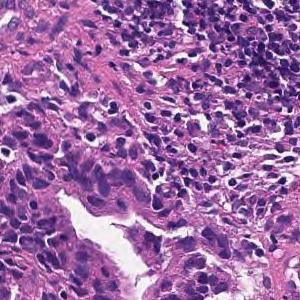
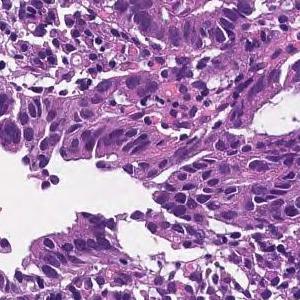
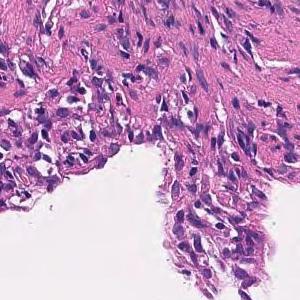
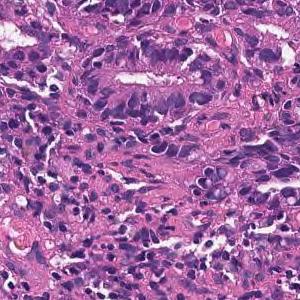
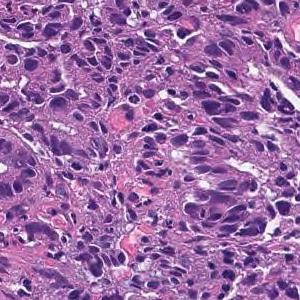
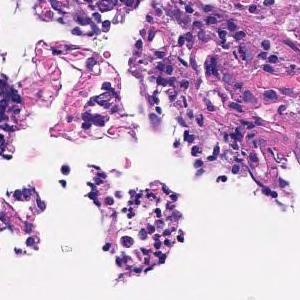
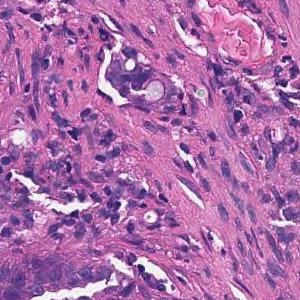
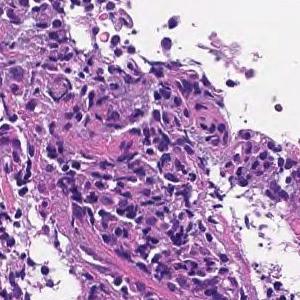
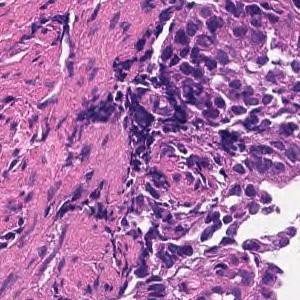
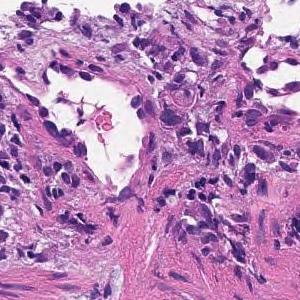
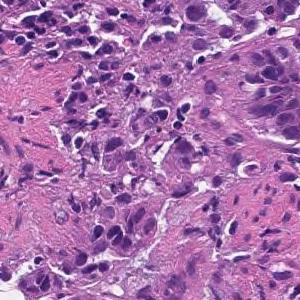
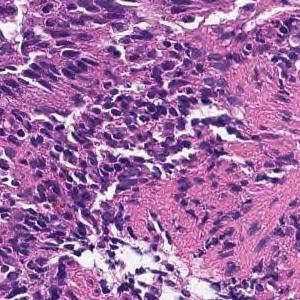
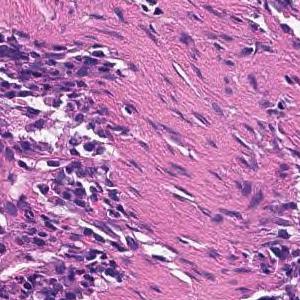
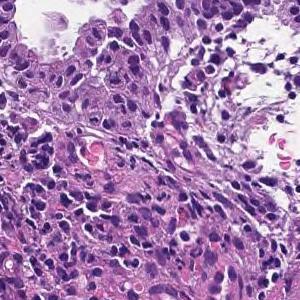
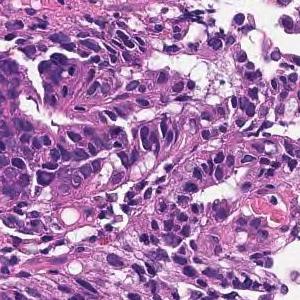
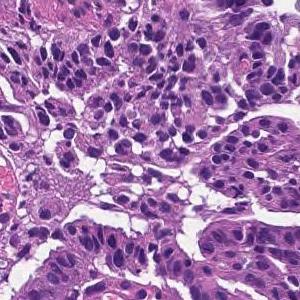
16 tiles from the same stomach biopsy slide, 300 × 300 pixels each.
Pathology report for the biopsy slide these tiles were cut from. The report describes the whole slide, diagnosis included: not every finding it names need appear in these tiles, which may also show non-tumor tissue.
On the superficial epithelium, tumor tissue consisting of large, irregular glandular ducts partially fused and infiltrated is observed. Well to moderately differentiated tubular adenocarcinoma (well differentiated tubular adenocarcinoma, moderately differentiated tubular adenocarcinoma)
Histological subtype: Well to moderately differentiated tubular adenocarcinoma.
